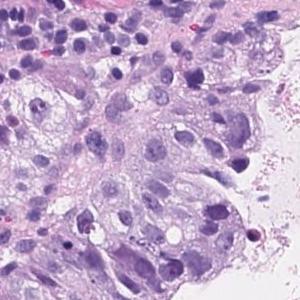
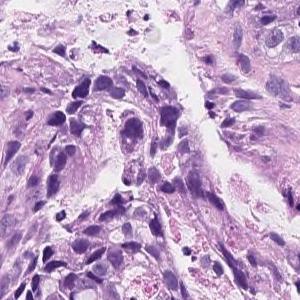
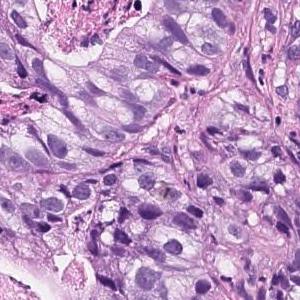
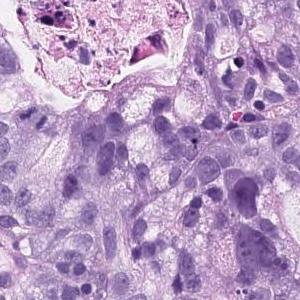
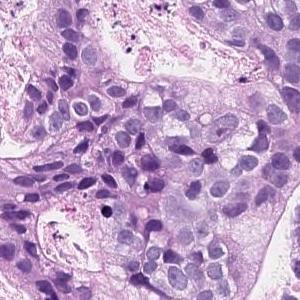
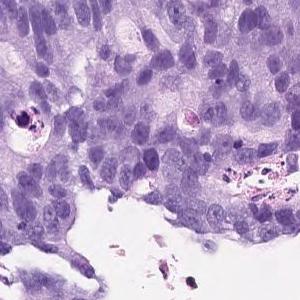
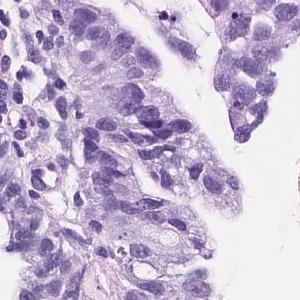
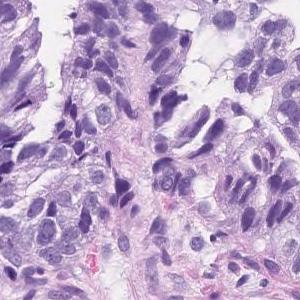
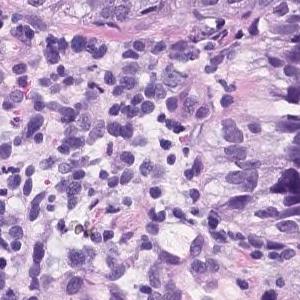
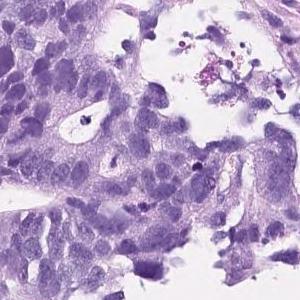
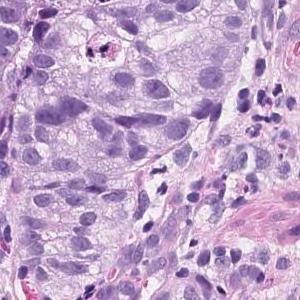
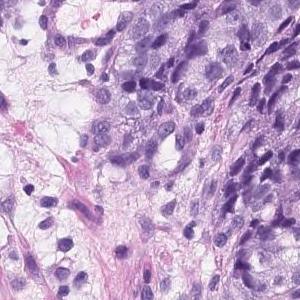
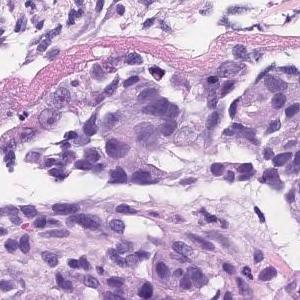
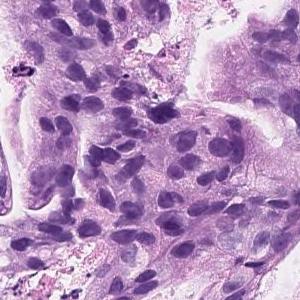
14 tiles cut from one stomach biopsy slide, 300 × 300 pixels each, H&E, scanned at ×20.
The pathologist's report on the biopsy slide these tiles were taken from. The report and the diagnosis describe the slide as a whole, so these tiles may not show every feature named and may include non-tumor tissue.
On the superficial epithelium, tumor tissue consisting of an image of large, irregular glandular ducts partially fused and infiltrated is observed. Well to moderately differentiated tubular adenocarcinoma
